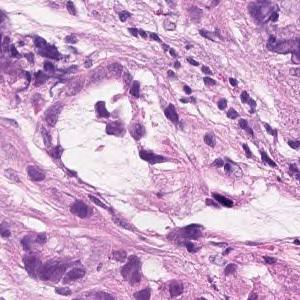
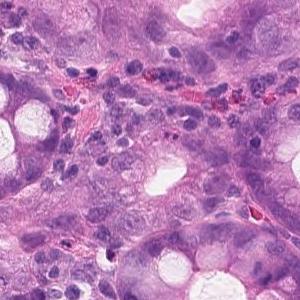
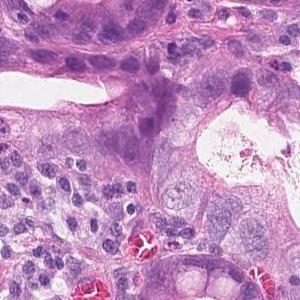
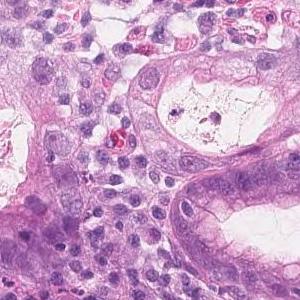
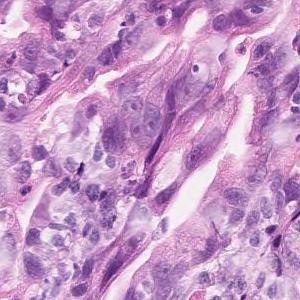
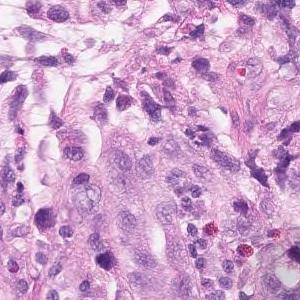
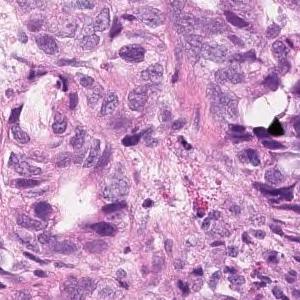
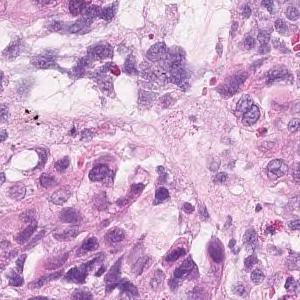
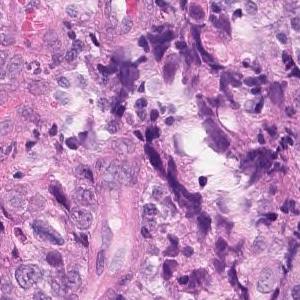
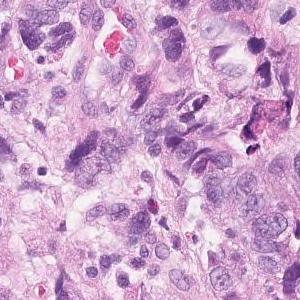
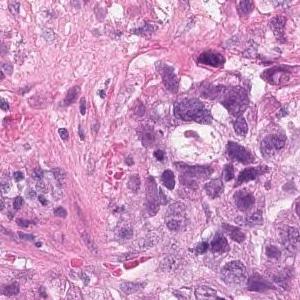
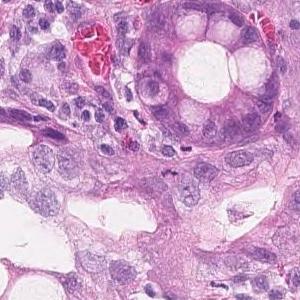
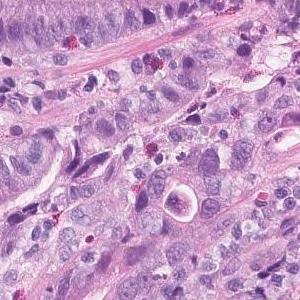
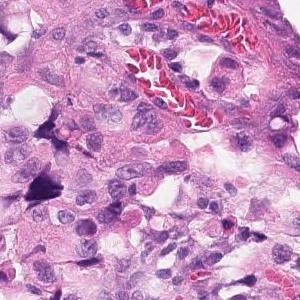
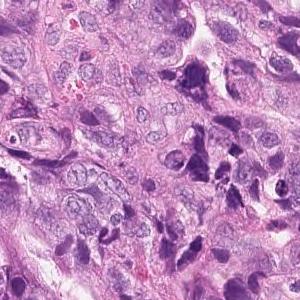
15 tiles cut from one stomach biopsy slide, each 300 × 300 pixels, hematoxylin and eosin stain, ×20.
The pathologist's report on the biopsy slide these tiles were taken from. The report describes the whole slide, diagnosis included: not every finding it names need appear in these tiles, which may also show non-tumor tissue.
Tumor tissue showing dense, fused or diffuse, and infiltrative growth of small atypical ducts is observed. moderately differentiated tubular adenocarcinoma
